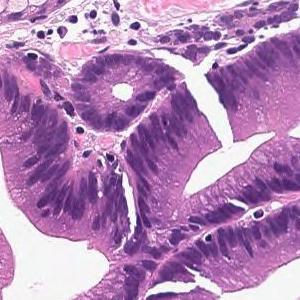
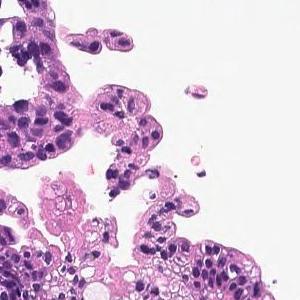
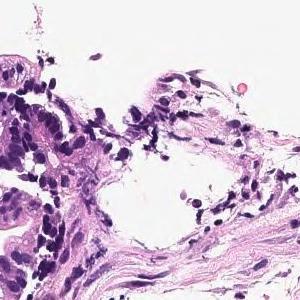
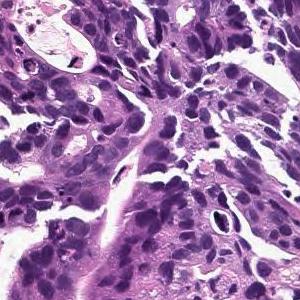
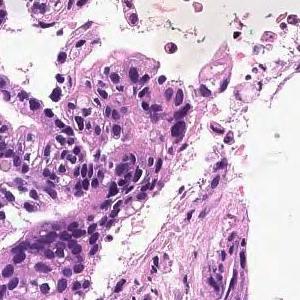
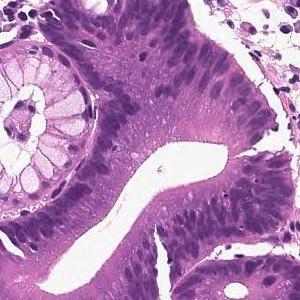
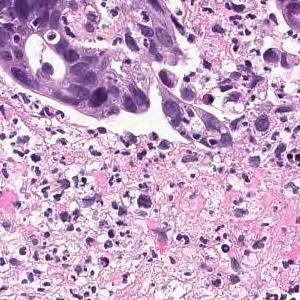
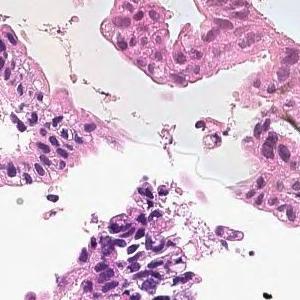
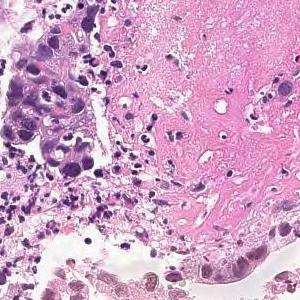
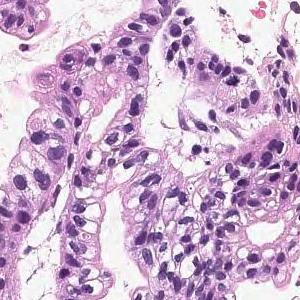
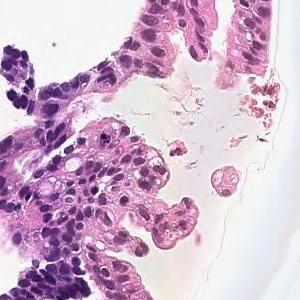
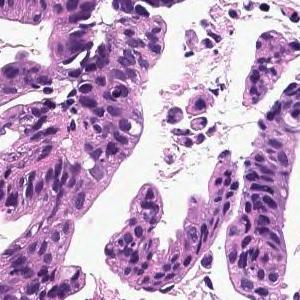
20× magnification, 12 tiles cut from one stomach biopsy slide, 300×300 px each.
Pathology report for the biopsy slide these tiles were cut from. The findings and the diagnosis refer to the entire slide; these tiles show only part of it, possibly with non-tumor tissue, and may not show every feature named.
In the superficial epithelium, tumor tissue that invades by forming medium-sized to small, irregular ducts is observed. moderately differentiated tubular adenocarcinoma.
